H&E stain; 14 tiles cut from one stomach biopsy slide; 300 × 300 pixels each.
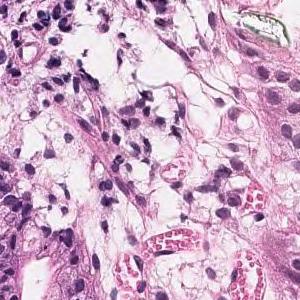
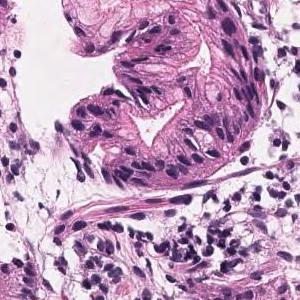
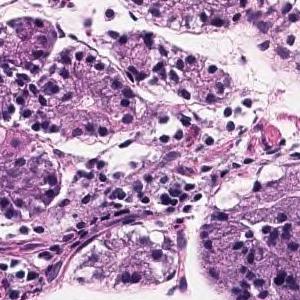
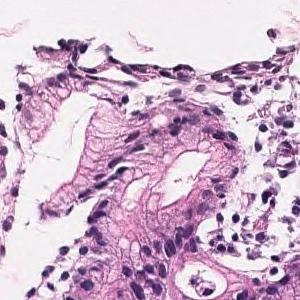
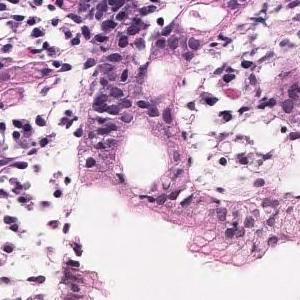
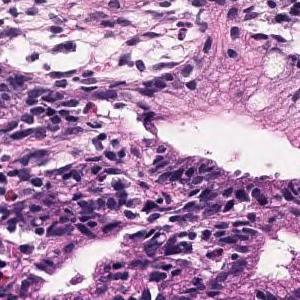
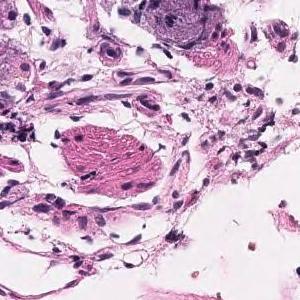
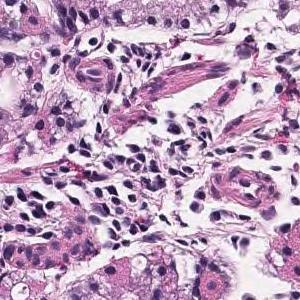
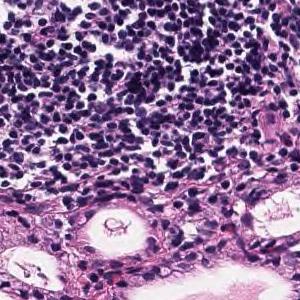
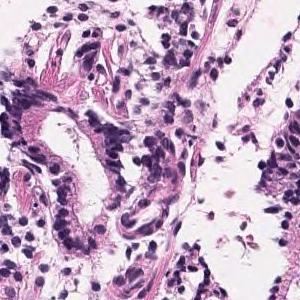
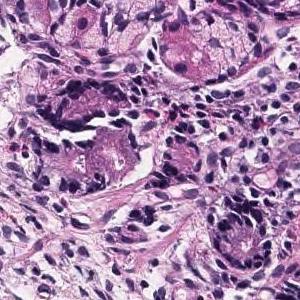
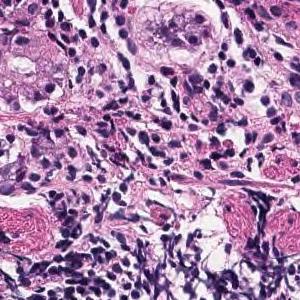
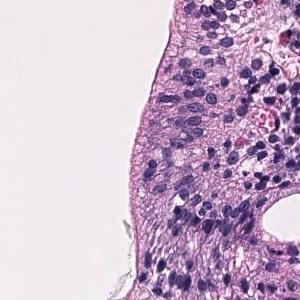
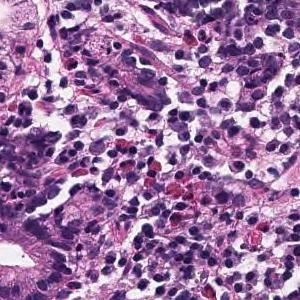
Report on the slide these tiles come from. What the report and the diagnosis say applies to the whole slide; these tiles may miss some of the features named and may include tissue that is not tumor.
Tumor tissue that grows and grows is observed, showing a medium-sized round or irregular duct. moderately differentiated tubular adenocarcinoma
